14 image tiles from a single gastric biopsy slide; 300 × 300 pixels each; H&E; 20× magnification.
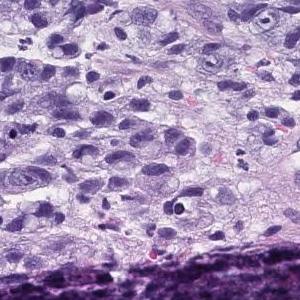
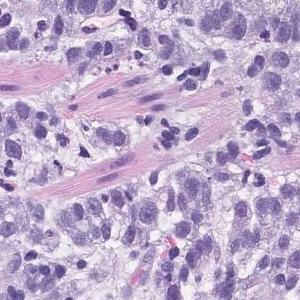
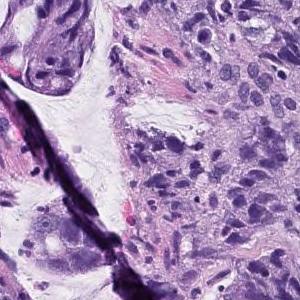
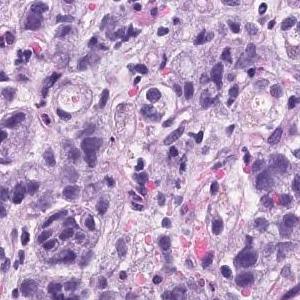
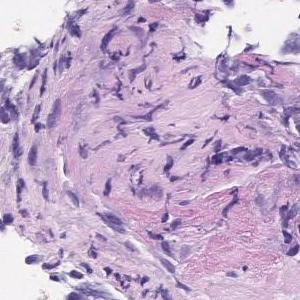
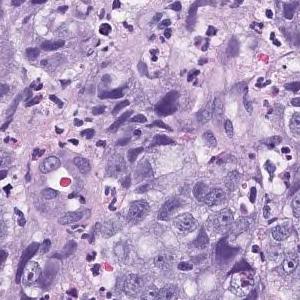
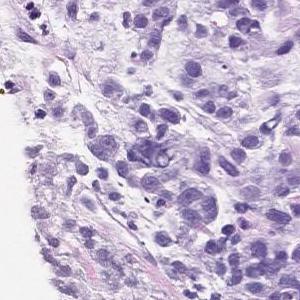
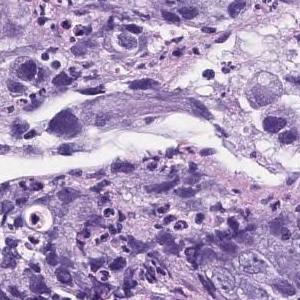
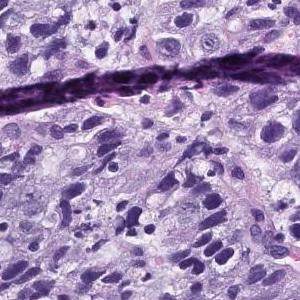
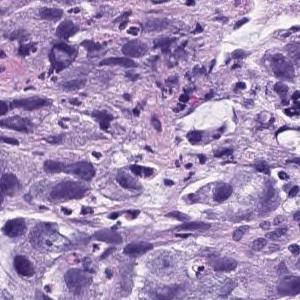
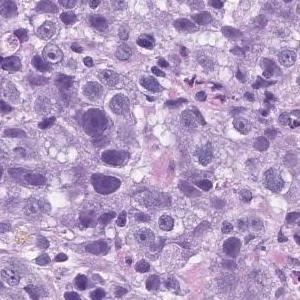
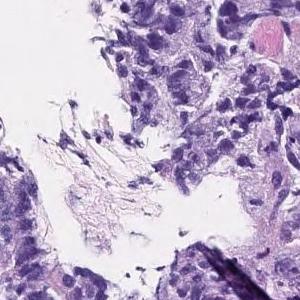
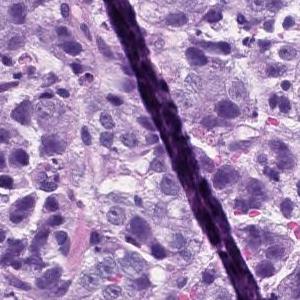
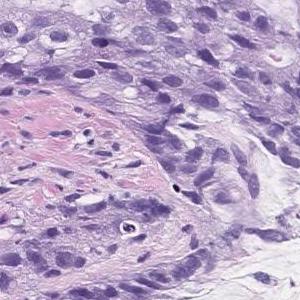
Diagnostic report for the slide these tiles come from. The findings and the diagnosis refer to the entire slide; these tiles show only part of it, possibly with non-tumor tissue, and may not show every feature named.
Atypical l cells with atypical nuclei forming solid vesicles or small irregular atypical ducts that proliferate in a complex manner. poorly differentiated adenocarcinoma, solid type, moderately differentiated tubular adenocarcinoma
The solid type named here is a Japanese Classification of Gastric Carcinoma category; WHO 2019 calls it tubular adenocarcinoma, poorly differentiated.
